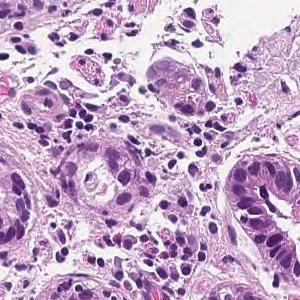
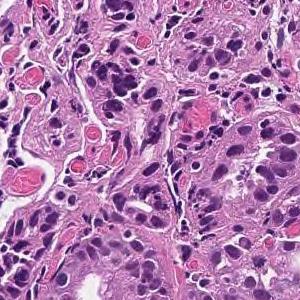
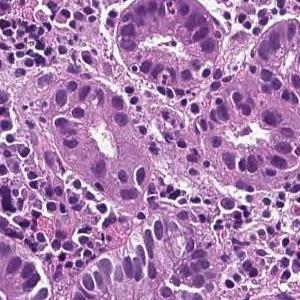
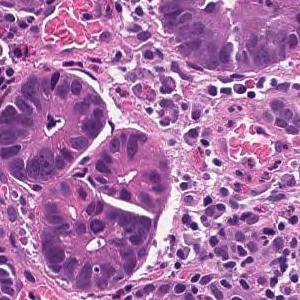
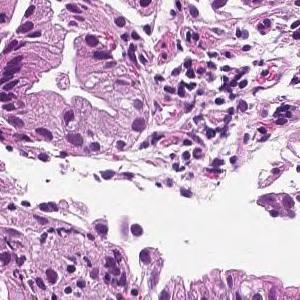
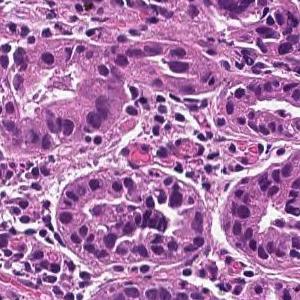
×20; hematoxylin and eosin stain; 6 tiles from the same stomach biopsy slide; 300 × 300 pixels each.
Pathology report for the slide these tiles were cut from. Both the report and the diagnosis are for the whole slide: these tiles need not show every feature named, and some of the tissue shown may not be tumor.
On the superficial epithelium, tumor tissue consisting of large irregular glandular ducts partially fused and infiltrated is observed. Well to moderately differentiated tubular adenocarcinoma (well differentiated tubular adenocarcinoma, moderately differentiated tubular adenocarcinoma)
Classified as well to moderately differentiated tubular adenocarcinoma.
